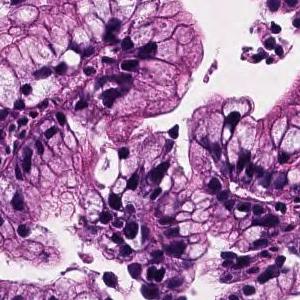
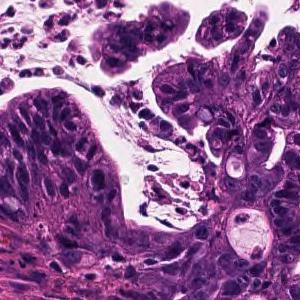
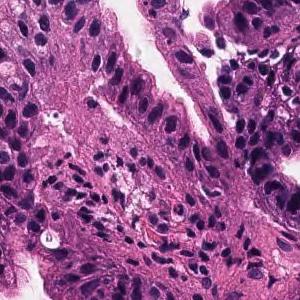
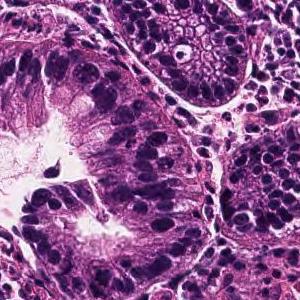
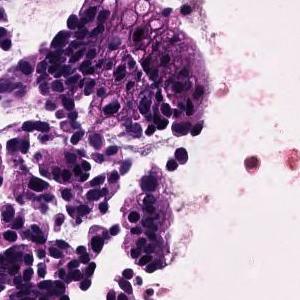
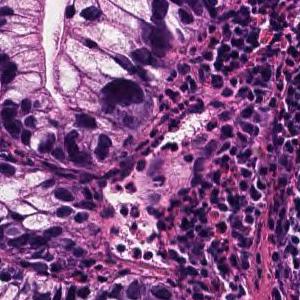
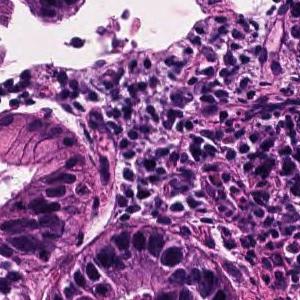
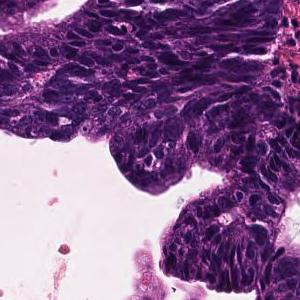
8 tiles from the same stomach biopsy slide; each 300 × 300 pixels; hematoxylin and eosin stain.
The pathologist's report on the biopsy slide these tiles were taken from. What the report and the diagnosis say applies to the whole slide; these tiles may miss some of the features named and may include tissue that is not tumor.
Tumor cells are large, highly columnar, large club-shaped nuclei, and are associated with chromatin aggregation. Papillary adenocarcinoma.
